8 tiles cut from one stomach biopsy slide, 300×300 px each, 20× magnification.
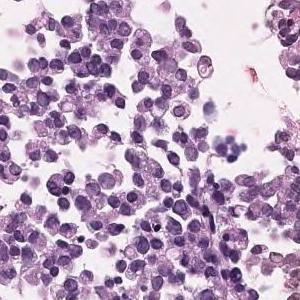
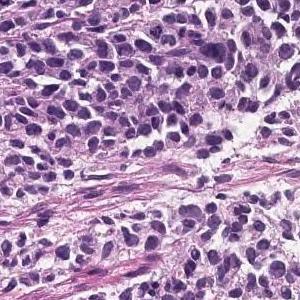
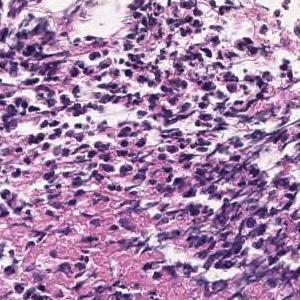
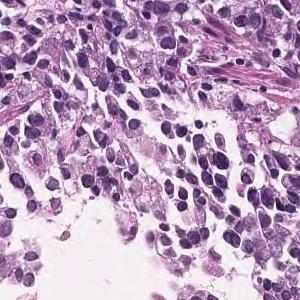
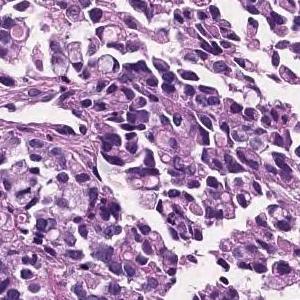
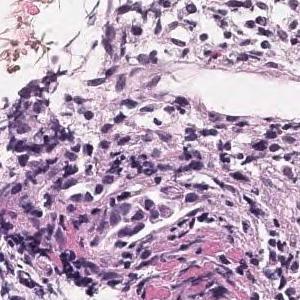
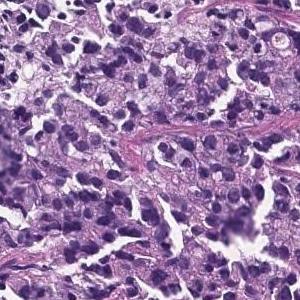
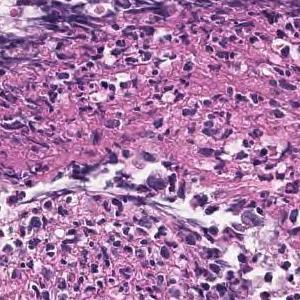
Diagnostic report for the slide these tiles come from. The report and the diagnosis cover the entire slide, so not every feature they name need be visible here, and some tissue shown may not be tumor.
The superficial epithelium shows a large sheet-like shape, and some tumor tissue infiltrates with small irregular ducts. Poorly differentiated adenocarcinoma, solid-type
Tumor subtype: poorly differentiated adenocarcinoma, solid type (Japanese Classification of Gastric Carcinoma). The WHO 2019 equivalent is tubular adenocarcinoma, poorly differentiated.
